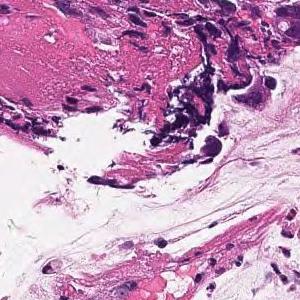
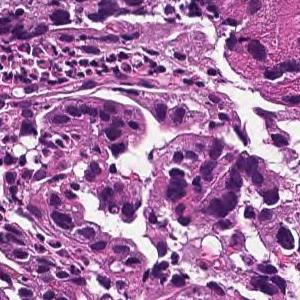
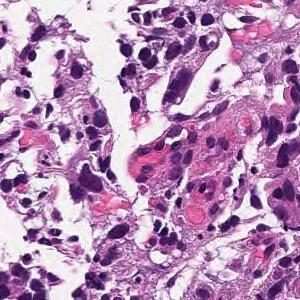
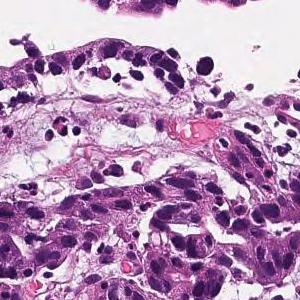
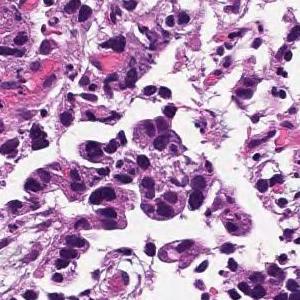
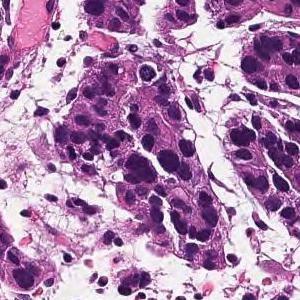
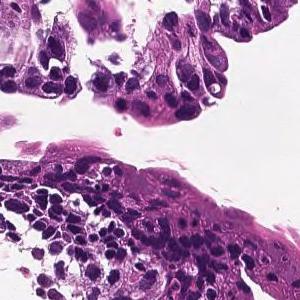
H&E stain · 20× magnification · 7 tiles from the same stomach biopsy slide · 300×300 px each.
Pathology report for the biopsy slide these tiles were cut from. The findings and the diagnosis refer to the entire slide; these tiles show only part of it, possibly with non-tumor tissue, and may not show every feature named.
In the superficial epithelium, tumor tissue that invades by forming medium-sized to small, irregular ducts is observed. moderately differentiated tubular adenocarcinoma.
